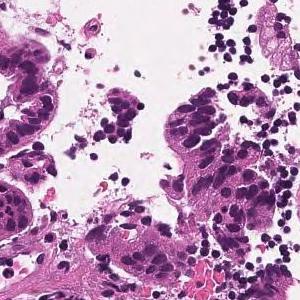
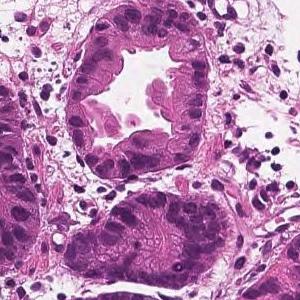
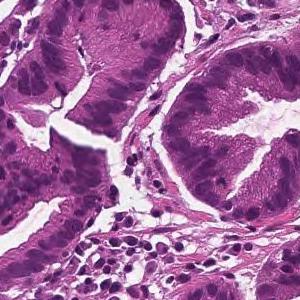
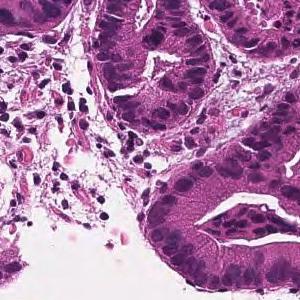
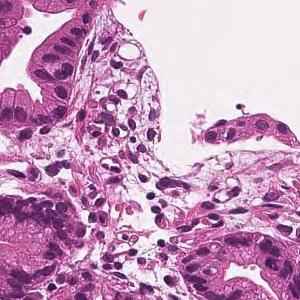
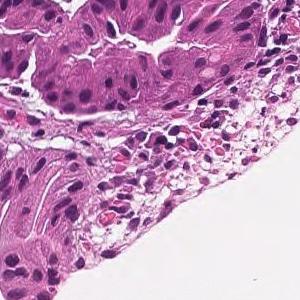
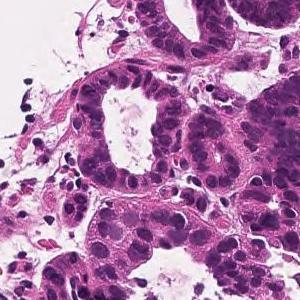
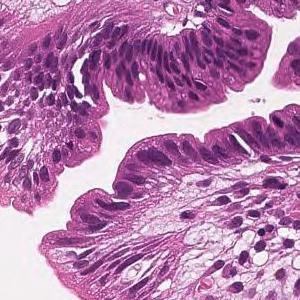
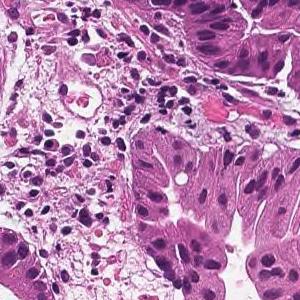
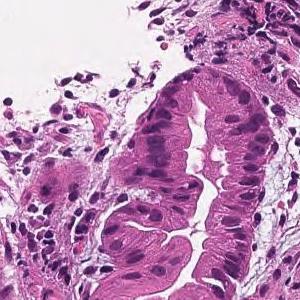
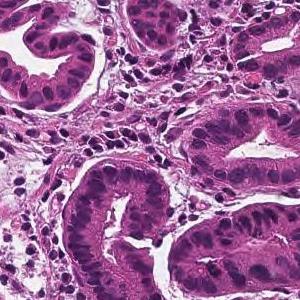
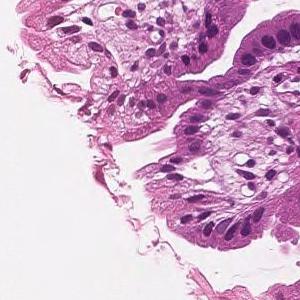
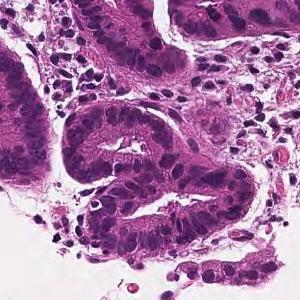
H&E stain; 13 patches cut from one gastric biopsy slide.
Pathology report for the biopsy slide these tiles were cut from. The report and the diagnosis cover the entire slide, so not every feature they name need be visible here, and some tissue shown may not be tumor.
From the superficial epithelium to the muscularis mucosae, tumor tissue consisting of medium-sized and irregular glandular ducts infiltrating is observed. Well differentiated tubular adenocarcinoma
